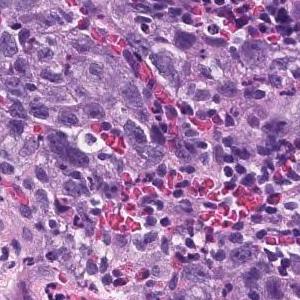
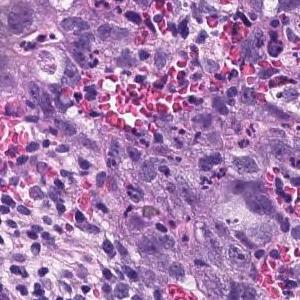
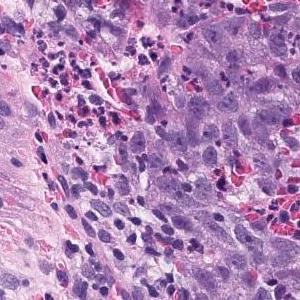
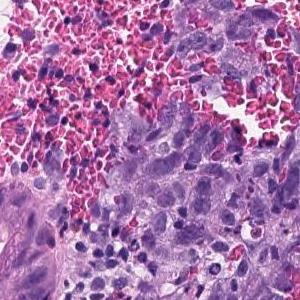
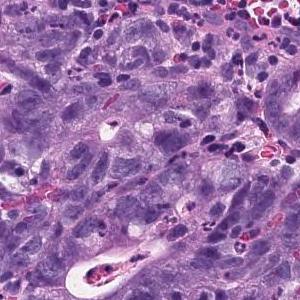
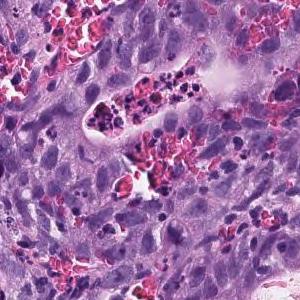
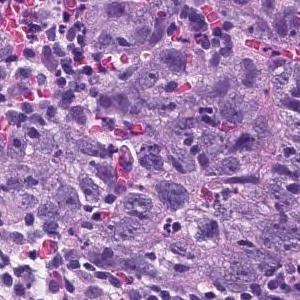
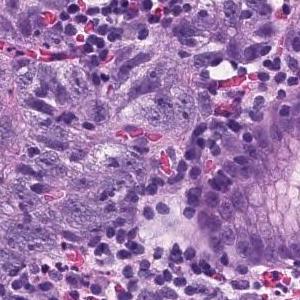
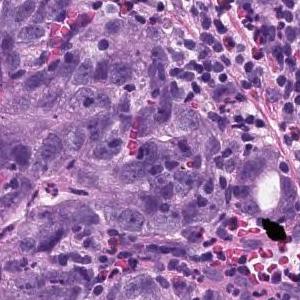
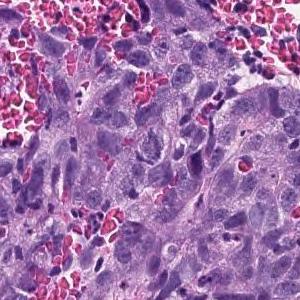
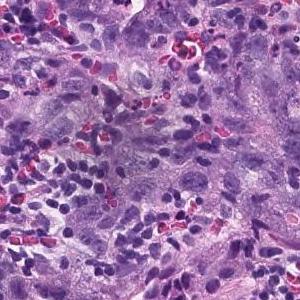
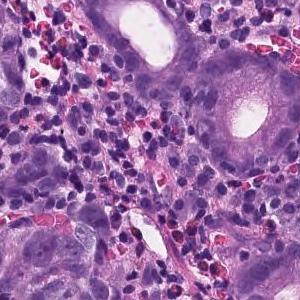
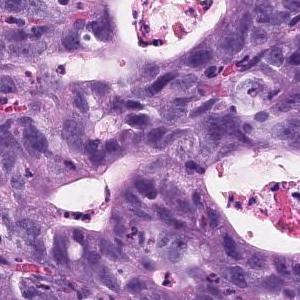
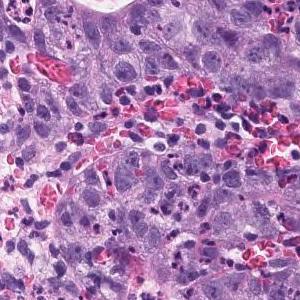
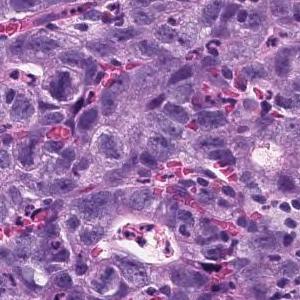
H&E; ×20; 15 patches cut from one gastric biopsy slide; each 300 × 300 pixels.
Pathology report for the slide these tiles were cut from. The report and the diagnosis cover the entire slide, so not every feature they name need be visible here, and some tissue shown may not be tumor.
Atypical l cells with atypical nuclei forming solid or diffuse vesicles or small irregular atypical ducts and growing in a complex manner. moderately differentiated tubular adenocarcinoma
